11 tiles from the same stomach biopsy slide · each 300 × 300 pixels · ×20 · H&E.
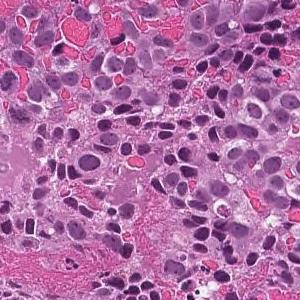
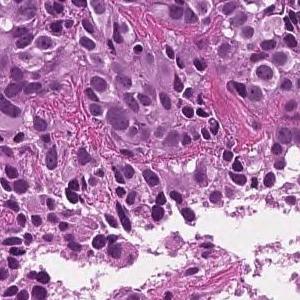
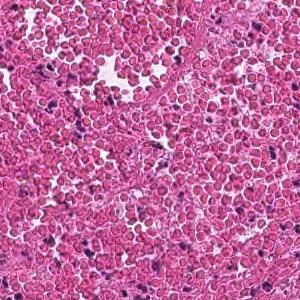
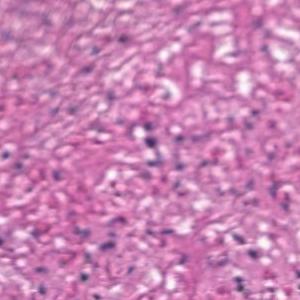
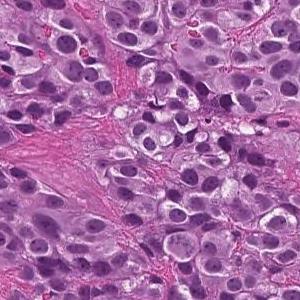
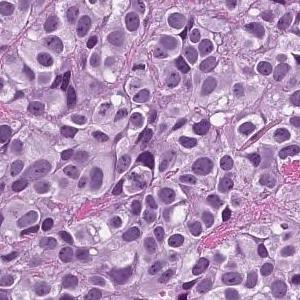
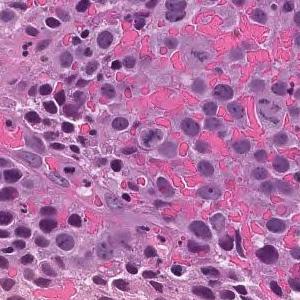
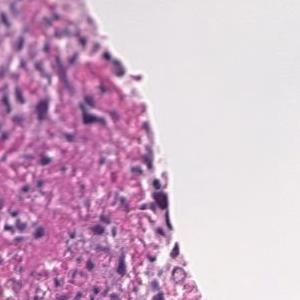
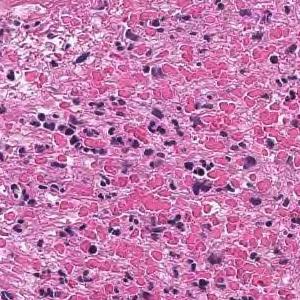
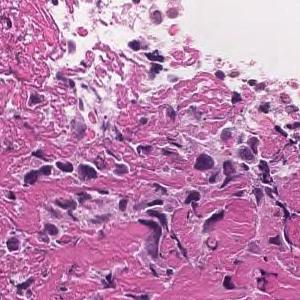
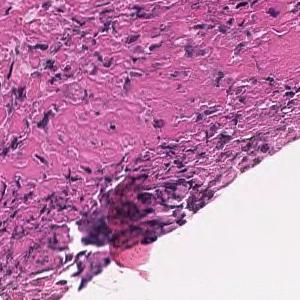
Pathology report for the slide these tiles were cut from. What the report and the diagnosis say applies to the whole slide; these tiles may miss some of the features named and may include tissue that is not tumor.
The superficial epithelium shows a large sheet-like shape, and some tumor tissue infiltrates with small irregular ducts. Poorly differentiated adenocarcinoma, solid-type
Histological subtype: Poorly differentiated adenocarcinoma, solid type, a category of the Japanese Classification of Gastric Carcinoma; in the WHO 2019 classification it is tubular adenocarcinoma, poorly differentiated.
